11 tiles cut from one stomach biopsy slide · 300×300 px each · ×20 · H&E stain.
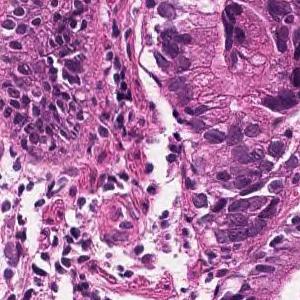
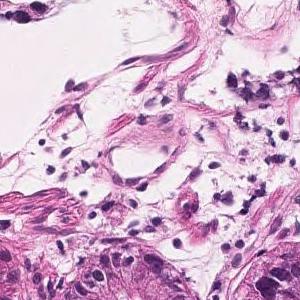
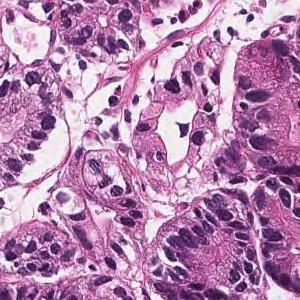
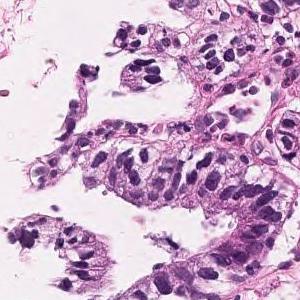
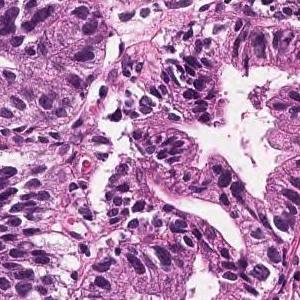
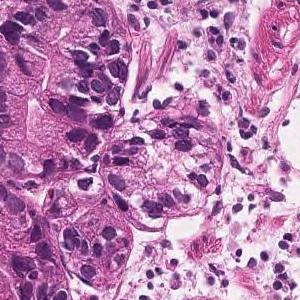
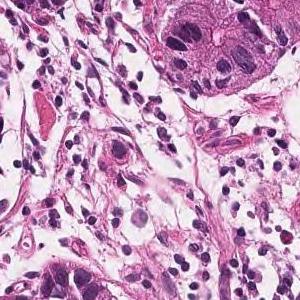
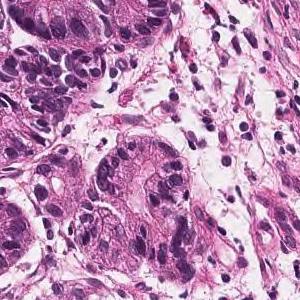
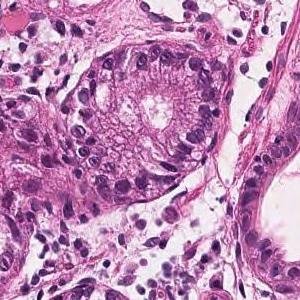
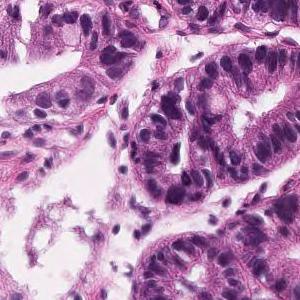
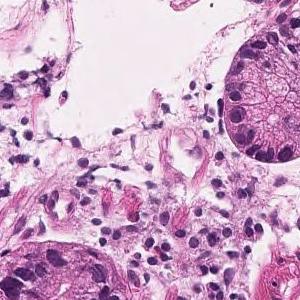
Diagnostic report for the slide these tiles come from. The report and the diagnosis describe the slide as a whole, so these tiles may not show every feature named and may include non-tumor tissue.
On the superficial epithelium, tumor tissue that infiltrates by forming medium-sized papillary or small irregular ducts is observed. Papillary adenocarcinoma
